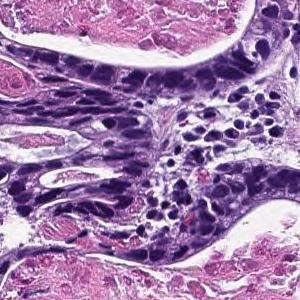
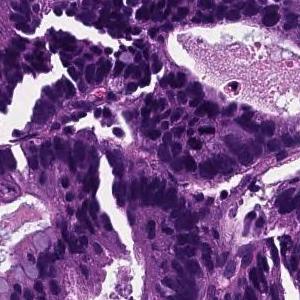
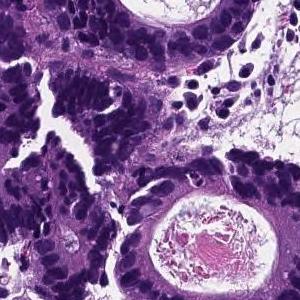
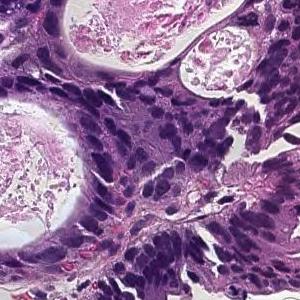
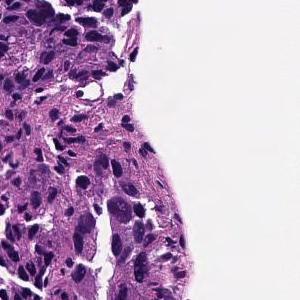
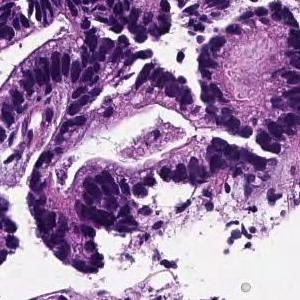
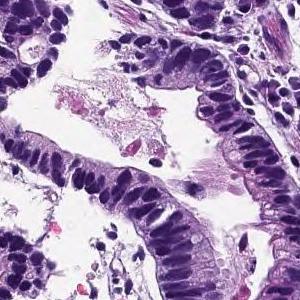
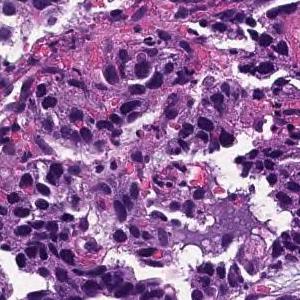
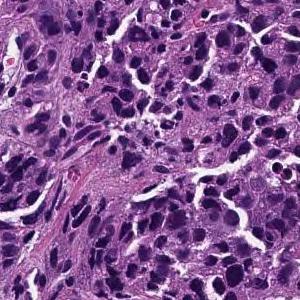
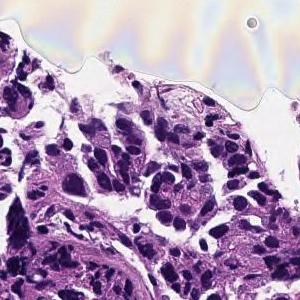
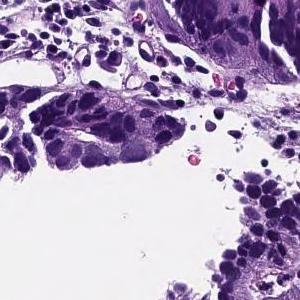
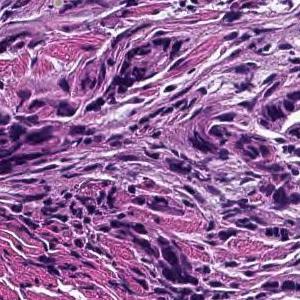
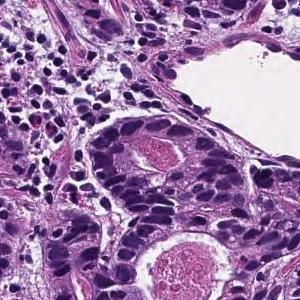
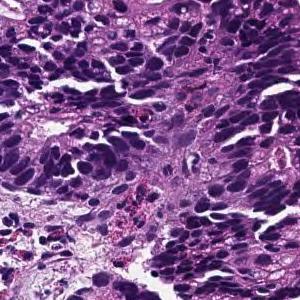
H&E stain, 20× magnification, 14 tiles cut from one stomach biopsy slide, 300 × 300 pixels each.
Diagnostic report for the slide these tiles come from. The findings and the diagnosis refer to the entire slide; these tiles show only part of it, possibly with non-tumor tissue, and may not show every feature named.
From the superficial epithelium to the muscularis mucosae, tumor tissue consisting of medium-sized and irregular glandular ducts infiltrating is observed. Well differentiated tubular adenocarcinoma
